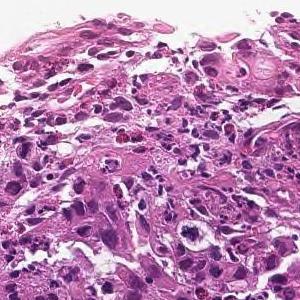
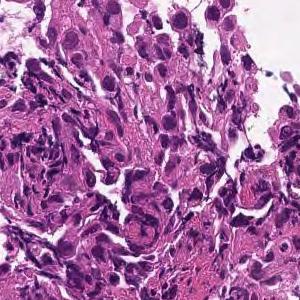
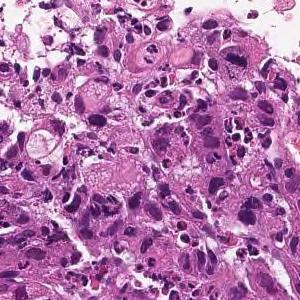
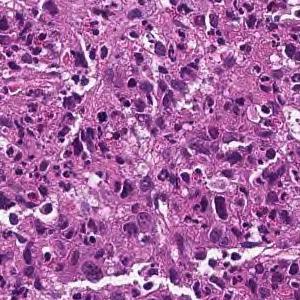
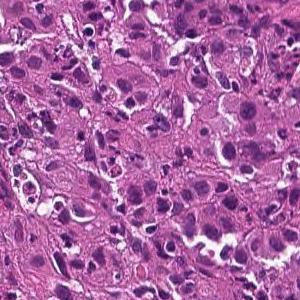
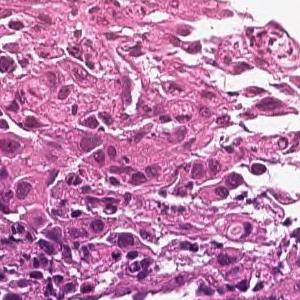
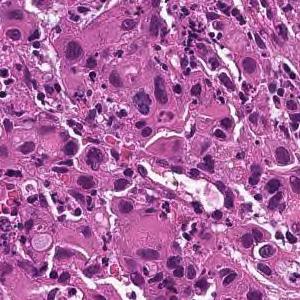
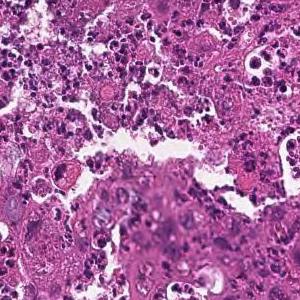
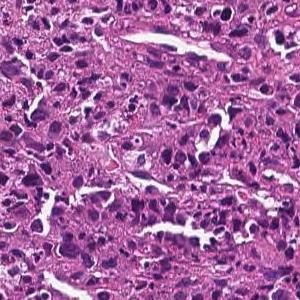
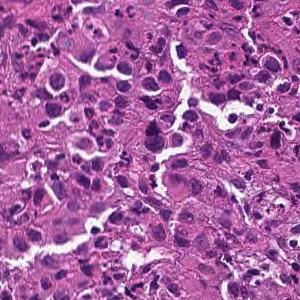
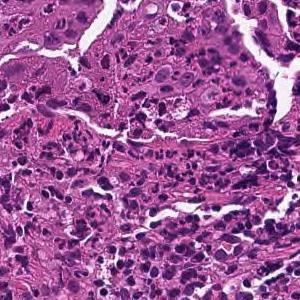
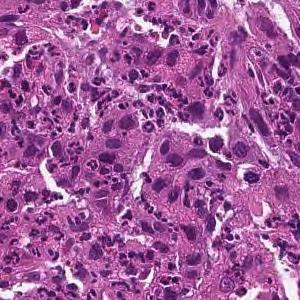
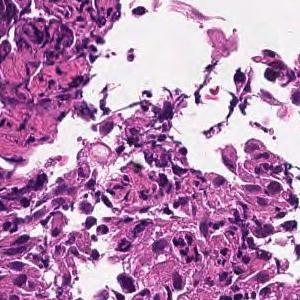
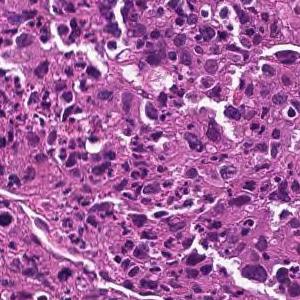
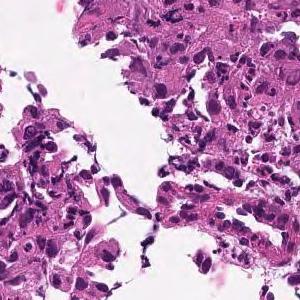
15 tiles cut from one stomach biopsy slide · H&E stain · ×20.
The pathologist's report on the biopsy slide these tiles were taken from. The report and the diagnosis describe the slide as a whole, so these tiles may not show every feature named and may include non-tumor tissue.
The superficial epithelium shows a large sheet-like shape, and some tumor tissue infiltrates with small irregular ducts. Poorly differentiated adenocarcinoma, solid-type
Subtype: Poorly differentiated adenocarcinoma, solid type (Japanese Classification of Gastric Carcinoma). The WHO 2019 equivalent is tubular adenocarcinoma, poorly differentiated.
